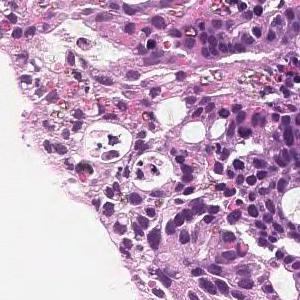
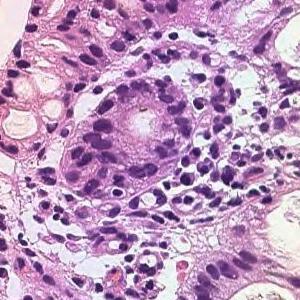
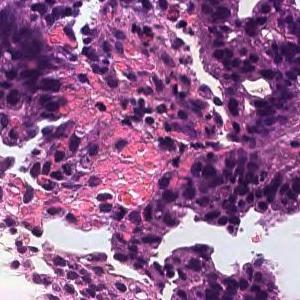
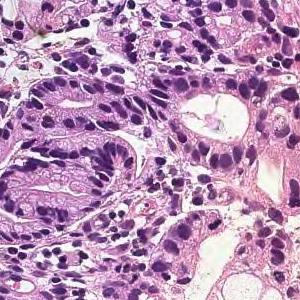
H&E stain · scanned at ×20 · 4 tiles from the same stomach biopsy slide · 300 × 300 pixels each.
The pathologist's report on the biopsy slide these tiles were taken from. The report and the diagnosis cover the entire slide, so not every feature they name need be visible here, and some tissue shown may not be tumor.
In the superficial epithelium, tumor tissue that invades by forming medium-sized to small, irregular ducts is observed. moderately differentiated tubular adenocarcinoma.
